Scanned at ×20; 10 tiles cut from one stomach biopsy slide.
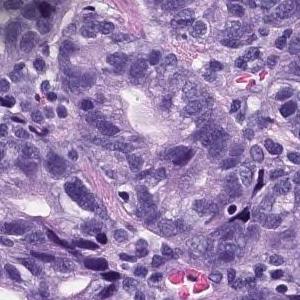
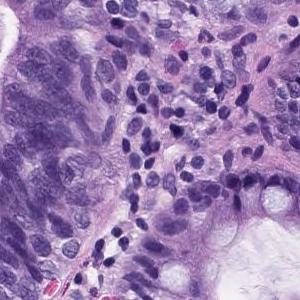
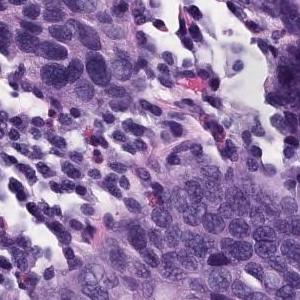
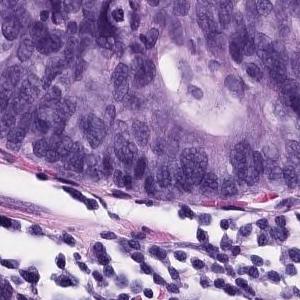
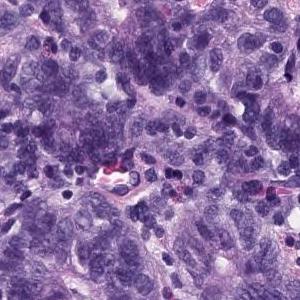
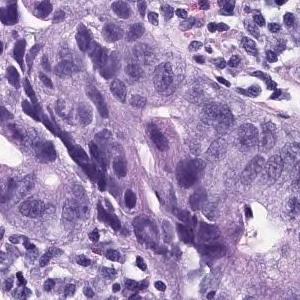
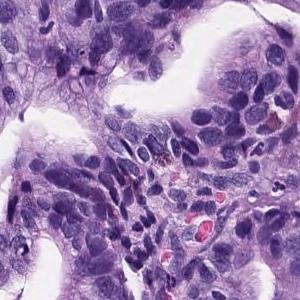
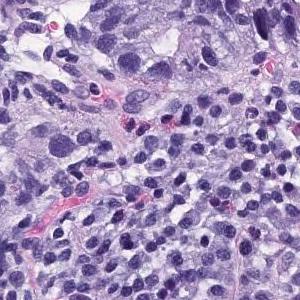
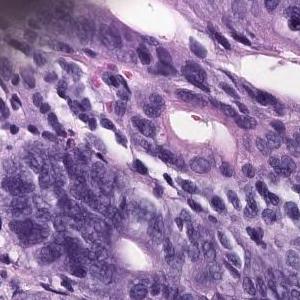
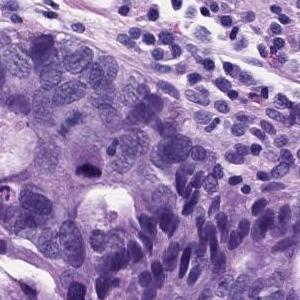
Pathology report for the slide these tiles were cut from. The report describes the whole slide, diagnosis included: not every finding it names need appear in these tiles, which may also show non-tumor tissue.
In the superficial epithelium, tumor tissue that invades by forming medium-sized to small, irregular ducts is observed. Moderately differentiated adenocarcinoma.
Histologic type: Moderately differentiated tubular adenocarcinoma.
